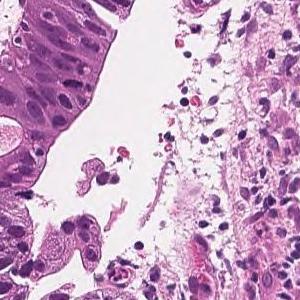
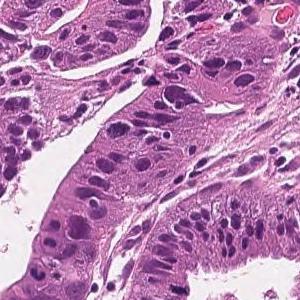
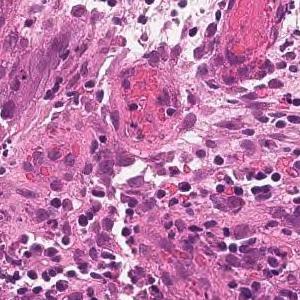
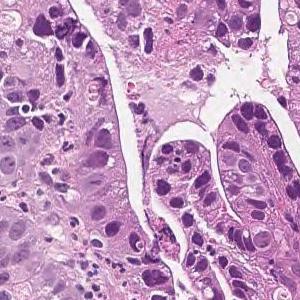
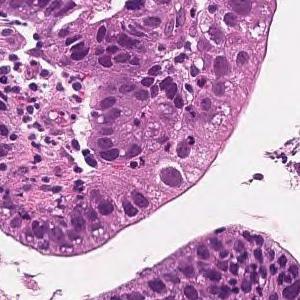
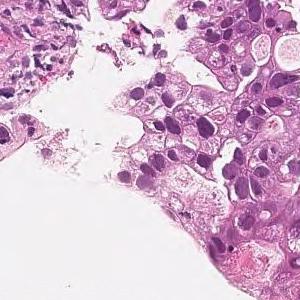
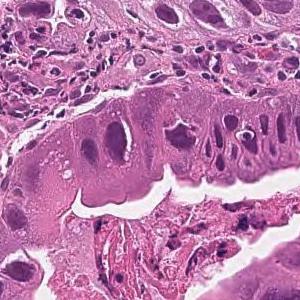
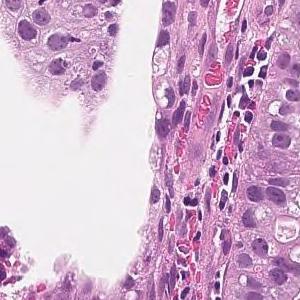
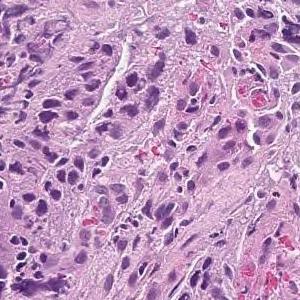
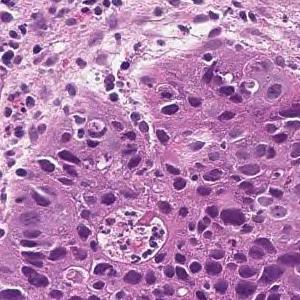
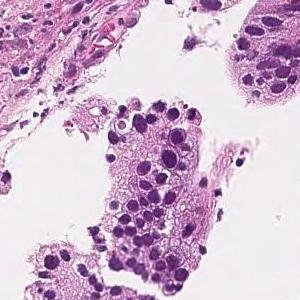
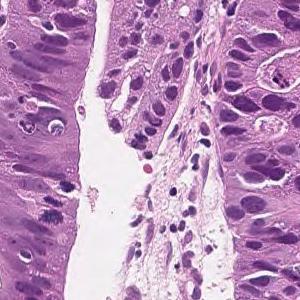
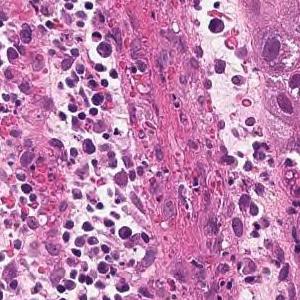
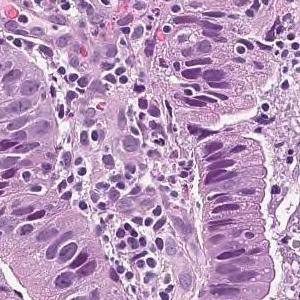
14 tiles cut from one stomach biopsy slide, H&E.
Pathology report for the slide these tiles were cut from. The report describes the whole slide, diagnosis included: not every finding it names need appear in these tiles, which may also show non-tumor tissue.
In the superficial epithelium, tumor tissue that invades by forming medium-sized to small, irregular ducts is observed. moderately differentiated tubular adenocarcinoma.
